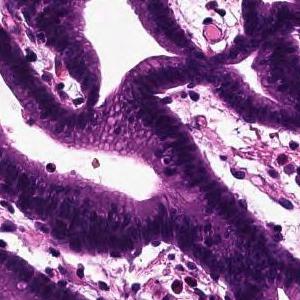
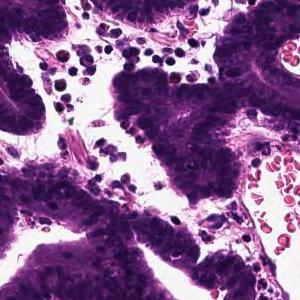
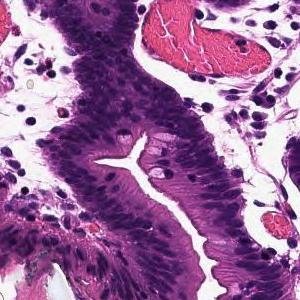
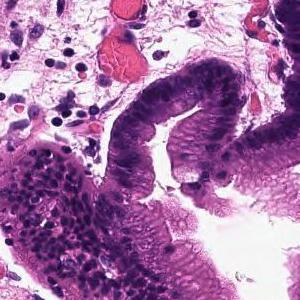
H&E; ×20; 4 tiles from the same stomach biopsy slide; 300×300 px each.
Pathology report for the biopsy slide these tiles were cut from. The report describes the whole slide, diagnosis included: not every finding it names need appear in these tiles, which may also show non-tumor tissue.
Tumor tissue that infiltrates by forming large papillary or large irregular glandular ducts is observed confined to the mucosa. Papillary adenocarcinoma
